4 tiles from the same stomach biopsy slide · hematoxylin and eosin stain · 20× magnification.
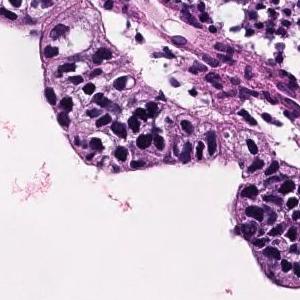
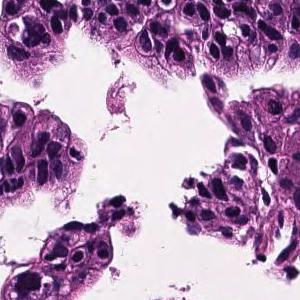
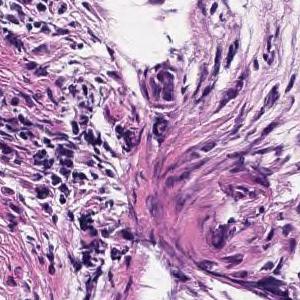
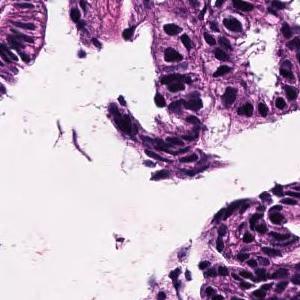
Report on the slide these tiles come from. What the report and the diagnosis say applies to the whole slide; these tiles may miss some of the features named and may include tissue that is not tumor.
Tumor cells are large, highly columnar, large club-shaped nuclei, and are associated with chromatin aggregation. Papillary adenocarcinoma.
